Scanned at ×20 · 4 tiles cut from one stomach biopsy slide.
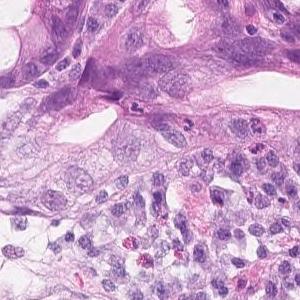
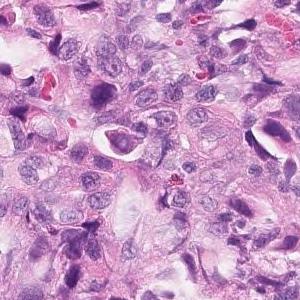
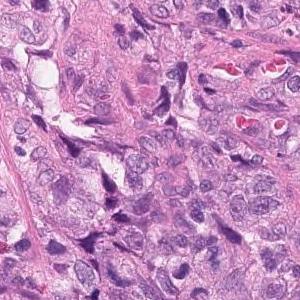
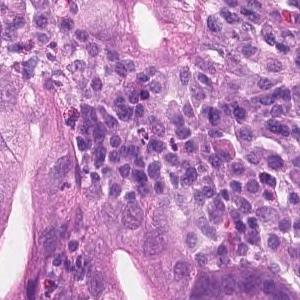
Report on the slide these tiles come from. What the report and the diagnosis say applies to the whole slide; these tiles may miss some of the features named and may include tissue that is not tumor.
Tumor tissue showing dense, fused or diffuse, and infiltrative growth of small atypical ducts is observed. moderately differentiated tubular adenocarcinoma
